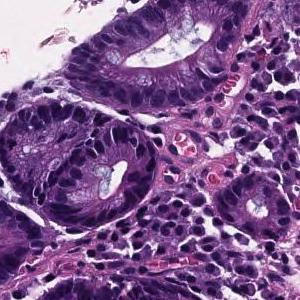
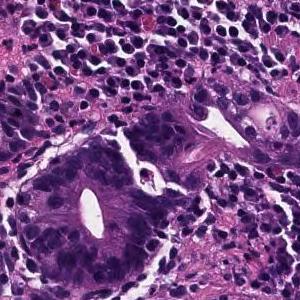
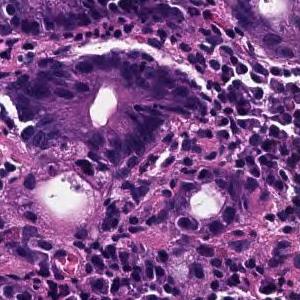
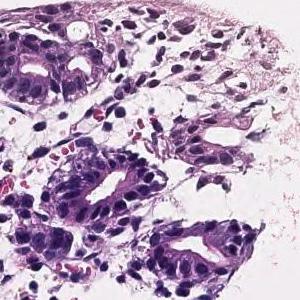
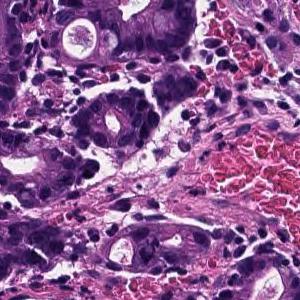
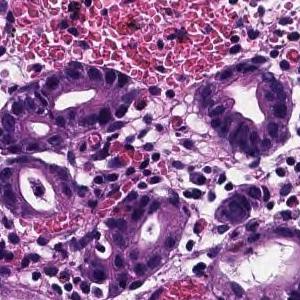
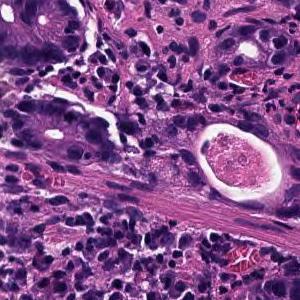
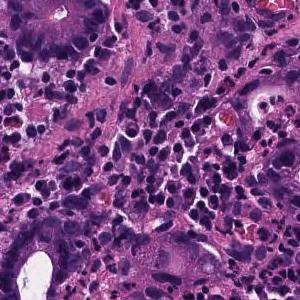
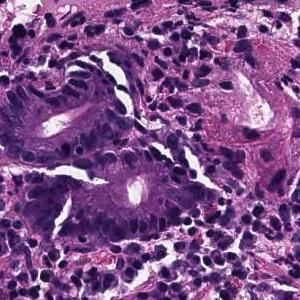
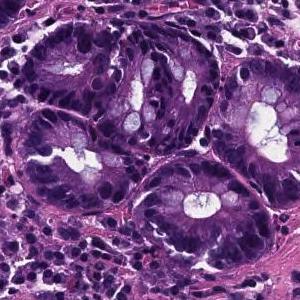
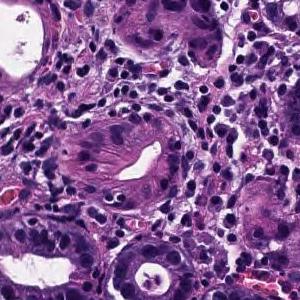
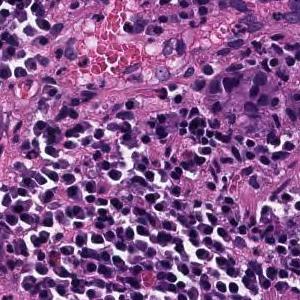
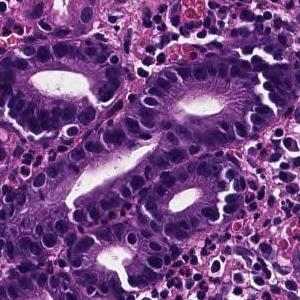
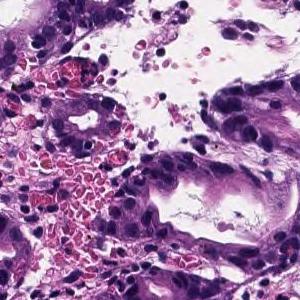
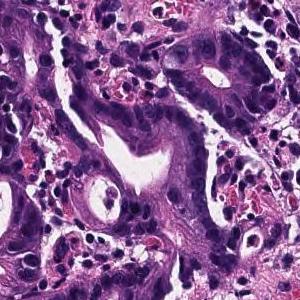
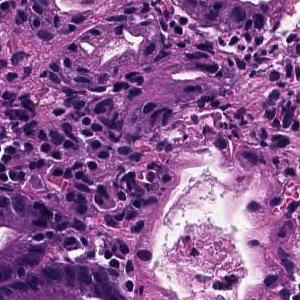
16 tiles from the same stomach biopsy slide · each 300 × 300 pixels · ×20.
Pathology report for the biopsy slide these tiles were cut from. The report and the diagnosis describe the slide as a whole, so these tiles may not show every feature named and may include non-tumor tissue.
In the superficial epithelium, tumor tissue that invades by forming medium-sized to small, irregular ducts is observed. moderately differentiated tubular adenocarcinoma.
